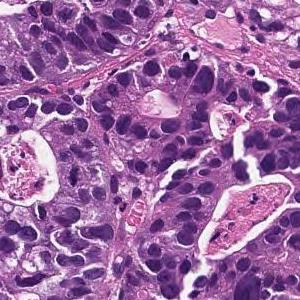
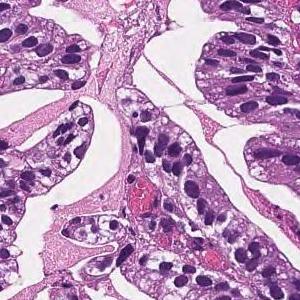
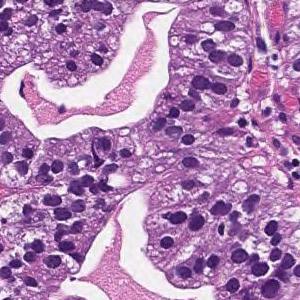
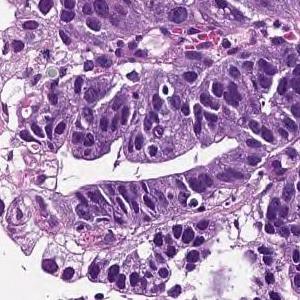
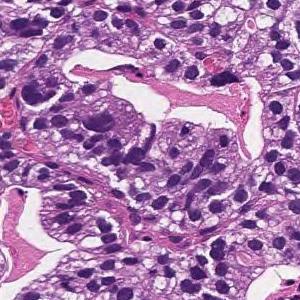
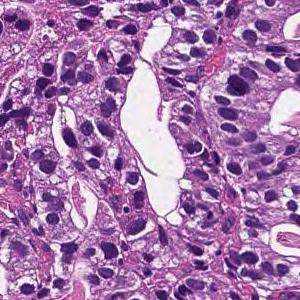
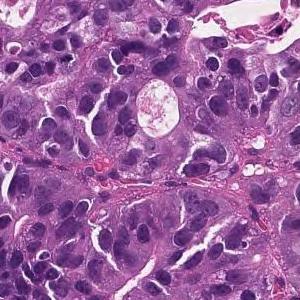
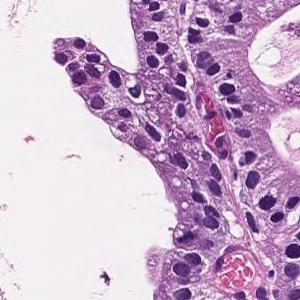
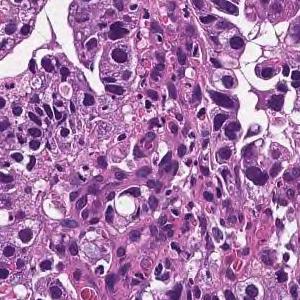
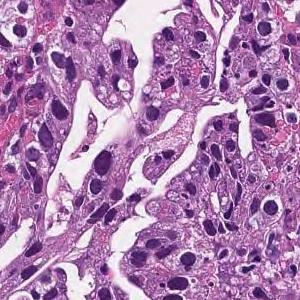
10 tiles cut from one stomach biopsy slide · 300×300 px each · H&E stain · ×20.
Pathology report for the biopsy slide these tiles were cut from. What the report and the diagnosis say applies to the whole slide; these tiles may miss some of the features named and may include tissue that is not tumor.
On the superficial epithelium, tumor tissue consisting of large, irregular glandular ducts partially fused and infiltrated is observed. Well to moderately differentiated tubular adenocarcinoma (well differentiated tubular adenocarcinoma, moderately differentiated tubular adenocarcinoma)
Histologic type: Well to moderately differentiated tubular adenocarcinoma.
